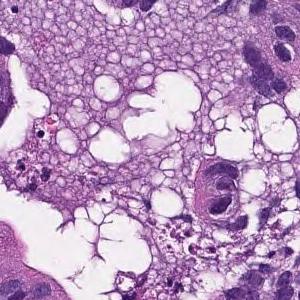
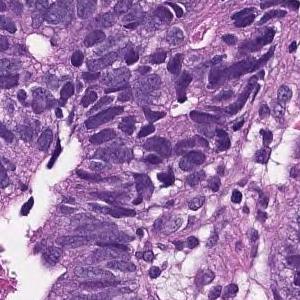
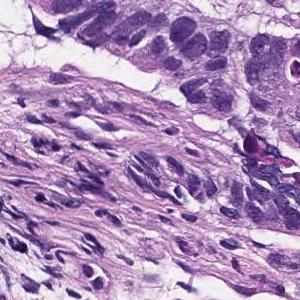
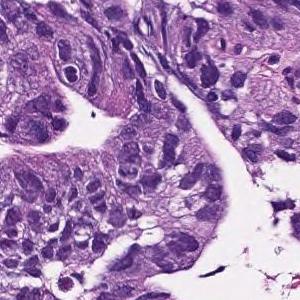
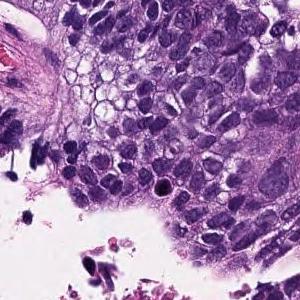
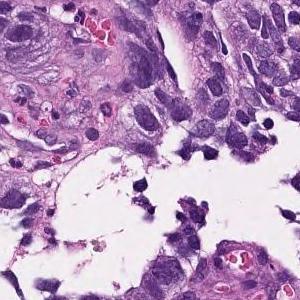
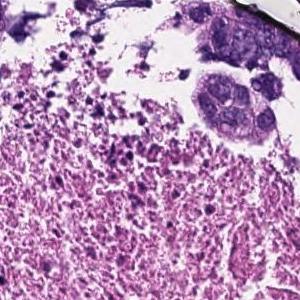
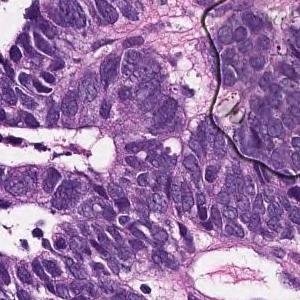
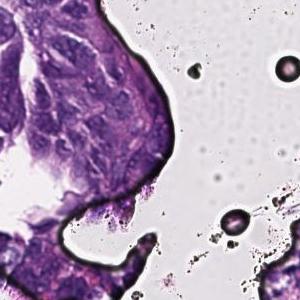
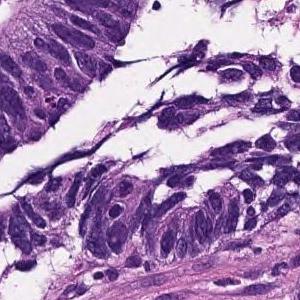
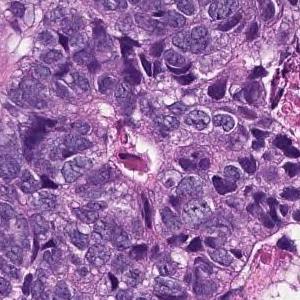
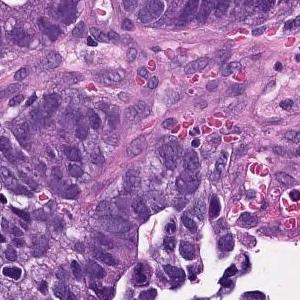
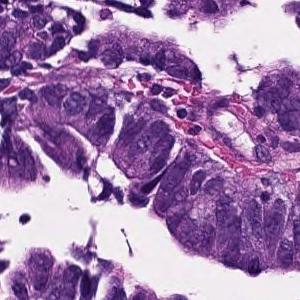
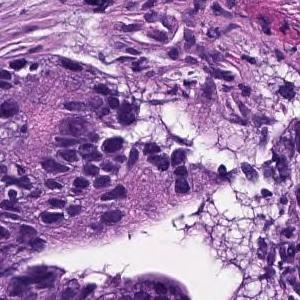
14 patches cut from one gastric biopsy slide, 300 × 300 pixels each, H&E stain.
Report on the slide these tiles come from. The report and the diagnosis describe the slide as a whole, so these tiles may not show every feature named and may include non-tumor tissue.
In the superficial epithelium, tumor tissue that invades by forming medium-sized to small, irregular ducts is observed. moderately differentiated tubular adenocarcinoma.
